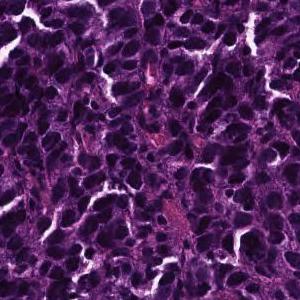
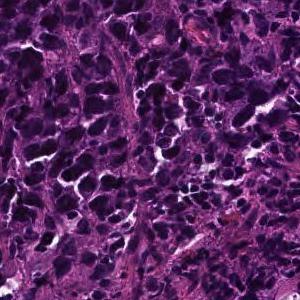
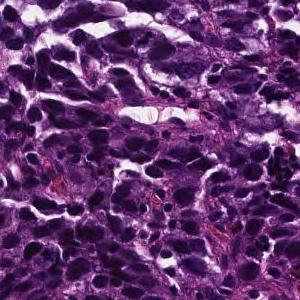
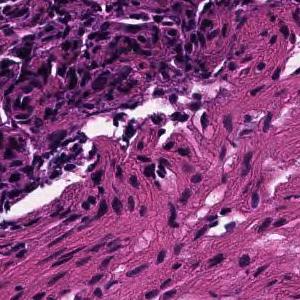
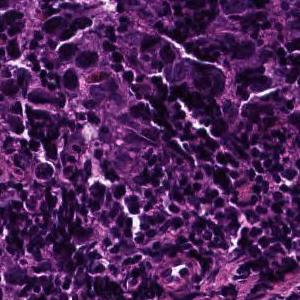
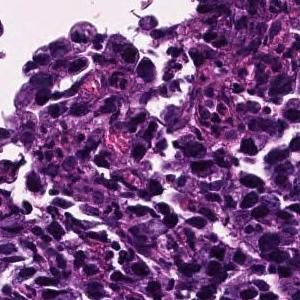
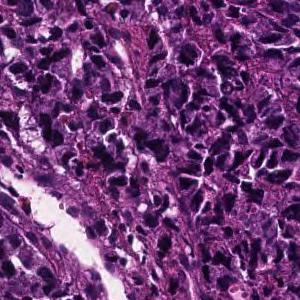
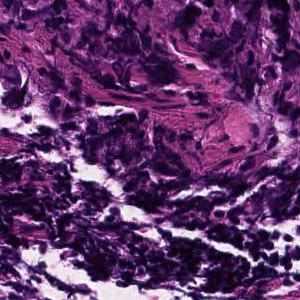
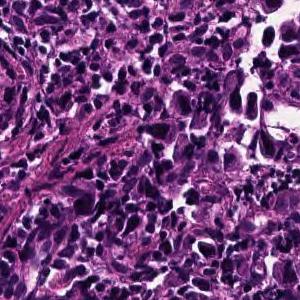
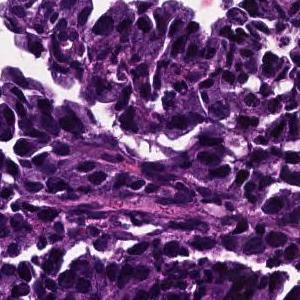
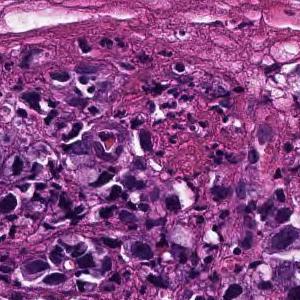
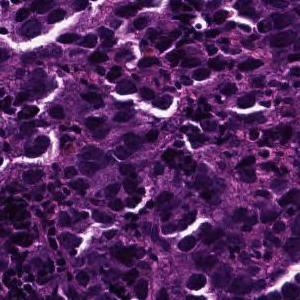
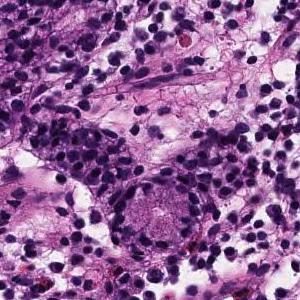
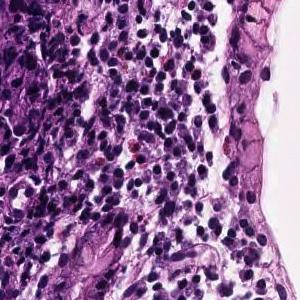
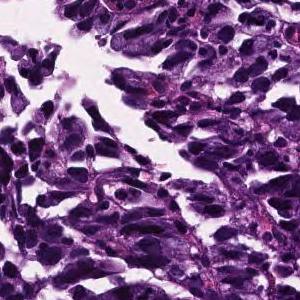
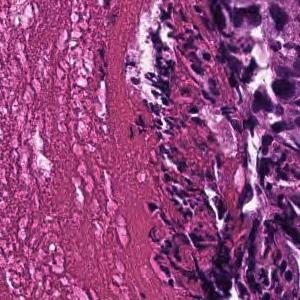
16 tiles cut from one stomach biopsy slide · each 300 × 300 pixels · H&E · scanned at ×20.
Pathology report for the slide these tiles were cut from. What the report and the diagnosis say applies to the whole slide; these tiles may miss some of the features named and may include tissue that is not tumor.
The superficial epithelium shows a large sheet-like shape, and some tumor tissues infiltrate with a small cord-like structure. Poorly differentiated adenocarcinoma, solid type (poorly differentiated adenocarcinoma, solid type)
Tumor subtype: poorly differentiated adenocarcinoma, solid type. This name comes from the Japanese Classification of Gastric Carcinoma; the WHO 2019 classification calls it tubular adenocarcinoma, poorly differentiated.
